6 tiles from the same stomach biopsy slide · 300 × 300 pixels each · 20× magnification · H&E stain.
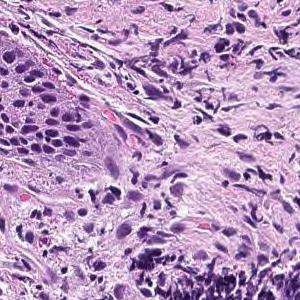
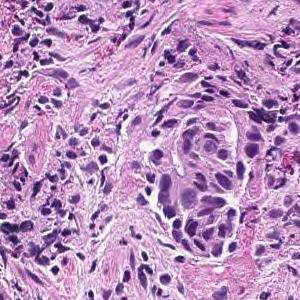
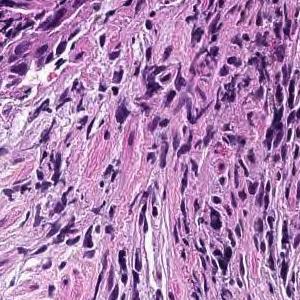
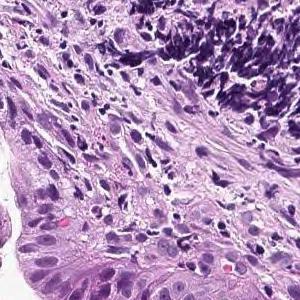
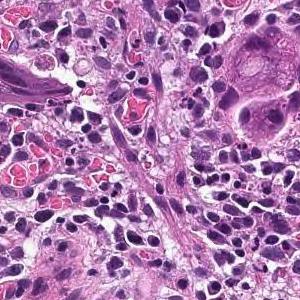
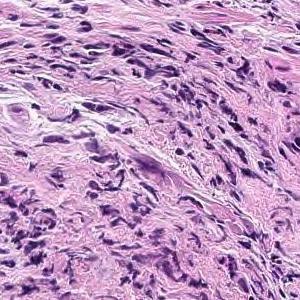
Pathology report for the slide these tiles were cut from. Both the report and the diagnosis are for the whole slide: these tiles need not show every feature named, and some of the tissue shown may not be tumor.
In the superficial epithelium, tumor tissue that invades by forming medium-sized to small, irregular ducts is observed. moderately differentiated tubular adenocarcinoma.
